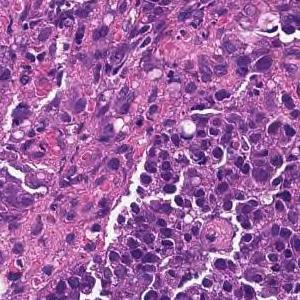
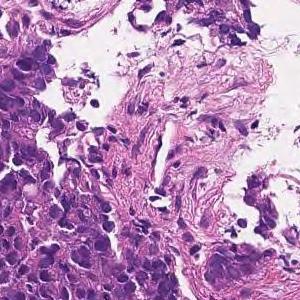
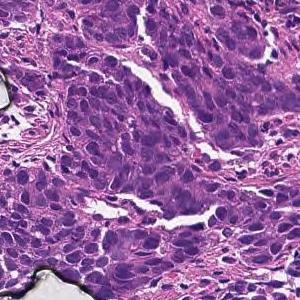
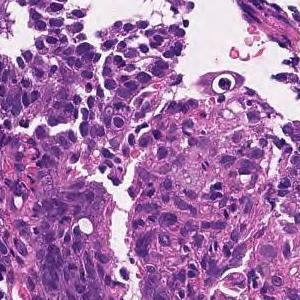
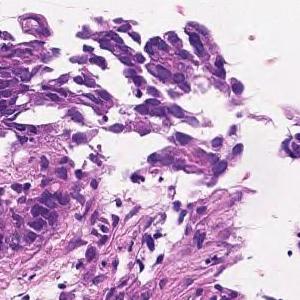
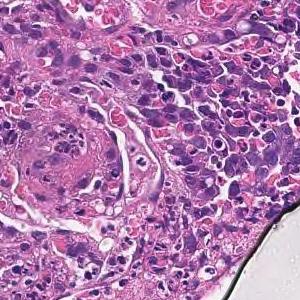
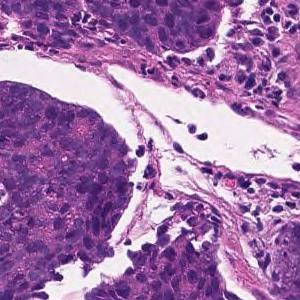
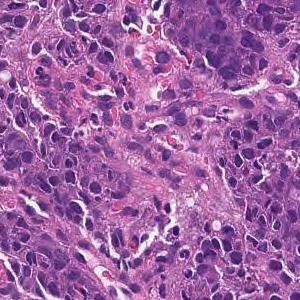
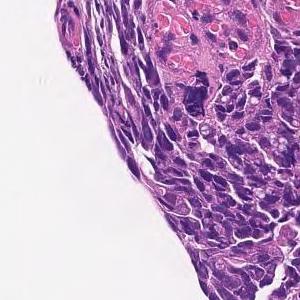
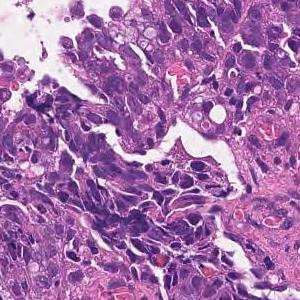
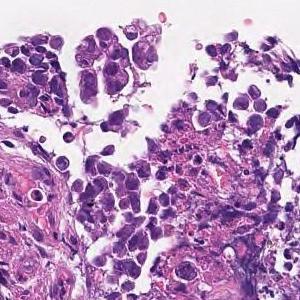
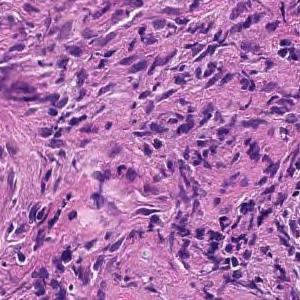
Scanned at ×20 · hematoxylin and eosin stain · 12 tiles from the same stomach biopsy slide · each 300 × 300 pixels.
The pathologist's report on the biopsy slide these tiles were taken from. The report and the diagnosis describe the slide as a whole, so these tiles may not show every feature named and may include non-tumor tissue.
Tumor tissue consisting of cord-like or small, irregular glandular ducts fused and infiltrated is observed in the superficial epithelium. Poorly differentiated adenocarcinoma, non-solid type
The term "non-solid type" comes from the Japanese Classification of Gastric Carcinoma.
